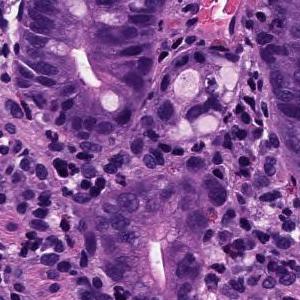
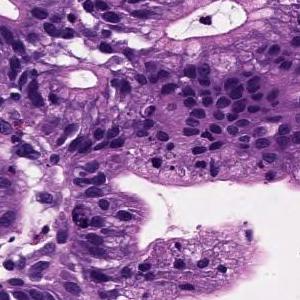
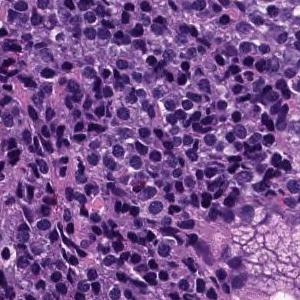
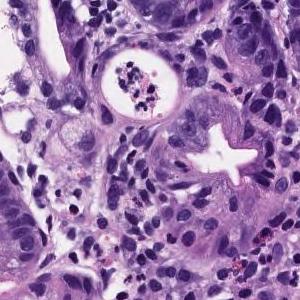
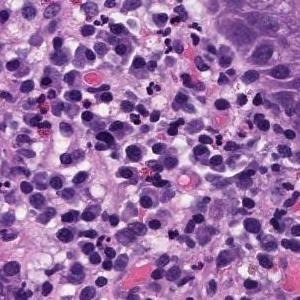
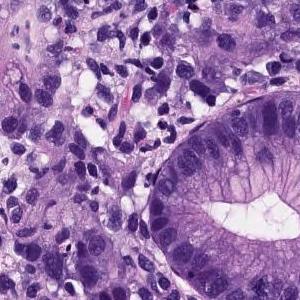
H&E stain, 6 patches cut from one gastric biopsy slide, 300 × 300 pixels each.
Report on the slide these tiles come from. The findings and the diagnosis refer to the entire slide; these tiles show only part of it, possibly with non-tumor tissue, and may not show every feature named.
Medium to small, irregular glandular ducts are formed in the superficial epithelium, and in some cases, the glandular ducts are fused to show solid alveolar lesions and infiltrating tumor tissue is observed. Moderately to poorly differentiated adenocarcinoma.
